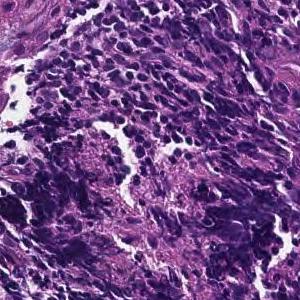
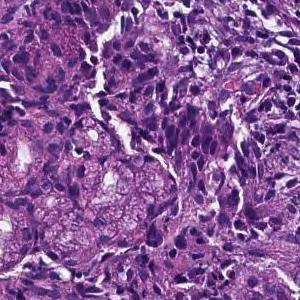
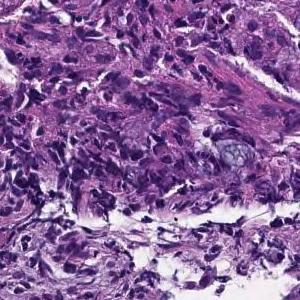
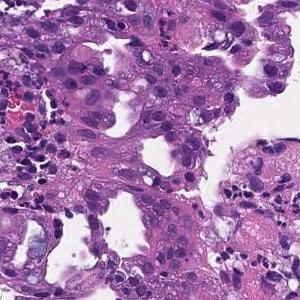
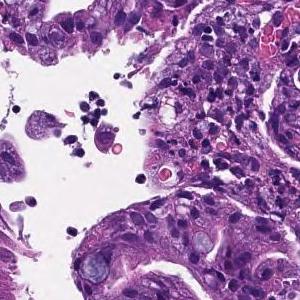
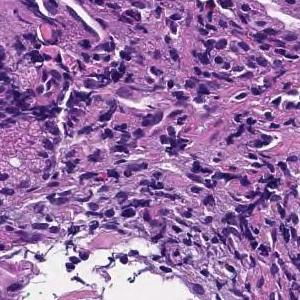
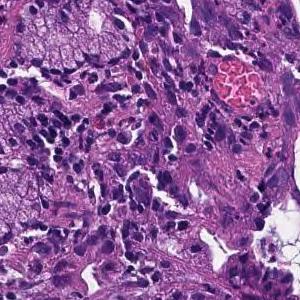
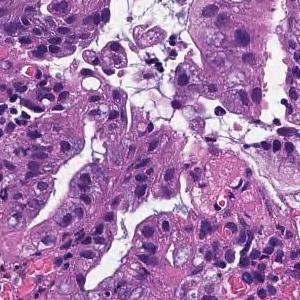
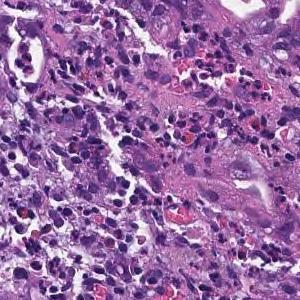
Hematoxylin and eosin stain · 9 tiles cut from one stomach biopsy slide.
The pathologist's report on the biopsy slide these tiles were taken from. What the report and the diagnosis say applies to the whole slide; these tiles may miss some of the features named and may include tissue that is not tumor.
In the superficial epithelium, tumor tissue that invades by forming medium-sized to small, irregular ducts is observed. moderately differentiated tubular adenocarcinoma.
